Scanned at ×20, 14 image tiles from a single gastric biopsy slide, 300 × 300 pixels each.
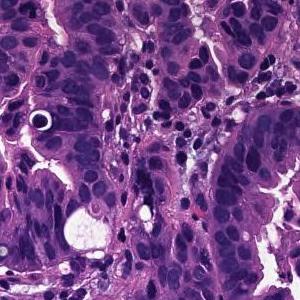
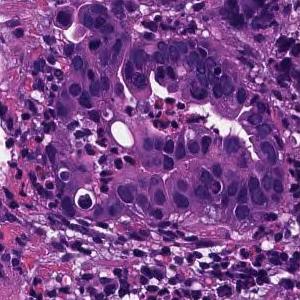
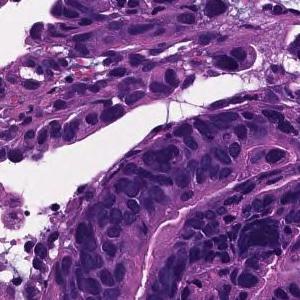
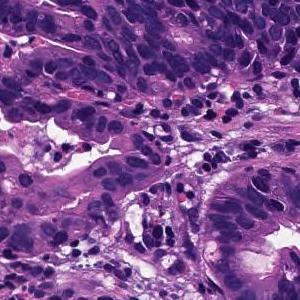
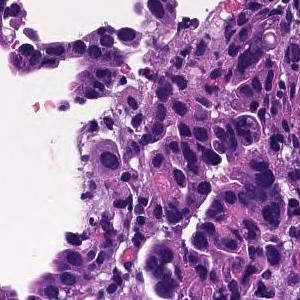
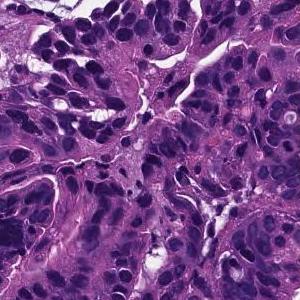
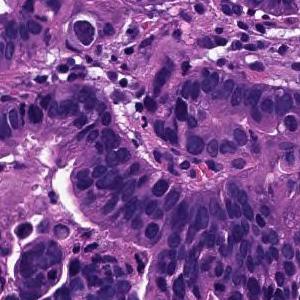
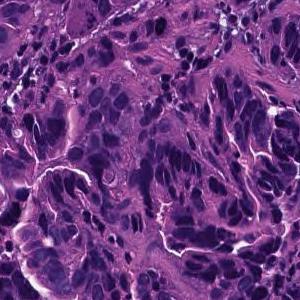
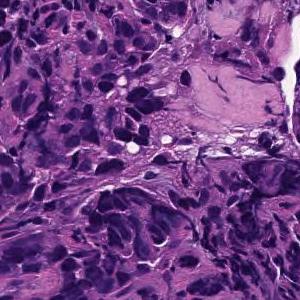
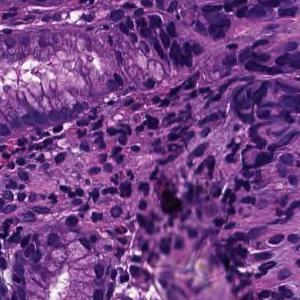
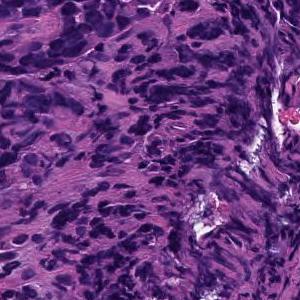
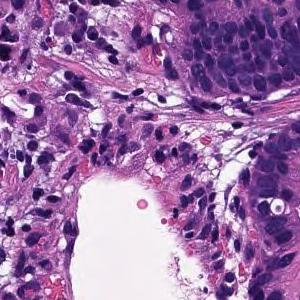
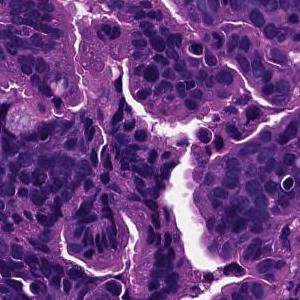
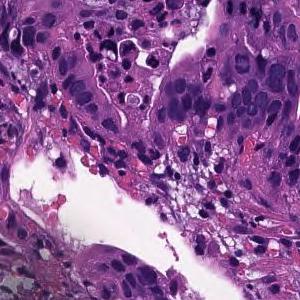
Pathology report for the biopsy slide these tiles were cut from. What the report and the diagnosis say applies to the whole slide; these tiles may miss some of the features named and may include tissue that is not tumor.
Tumor tissue consisting of medium-sized, cord-like or irregular glandular infiltration is observed in the superficial epithelium. Poorly differentiated adenocarcinoma, non-solid type or moderately differentiated tubular adenocarcinoma
Subtype: Moderately to poorly differentiated adenocarcinoma.
"Non-solid type" is a category of the Japanese Classification of Gastric Carcinoma.
